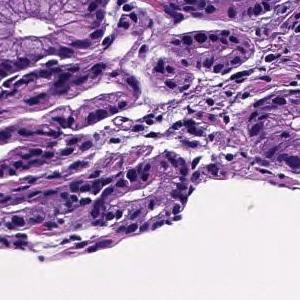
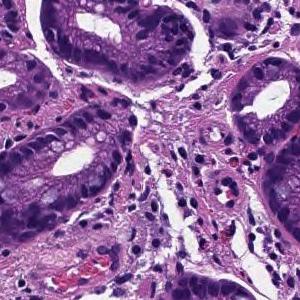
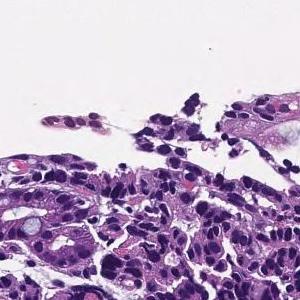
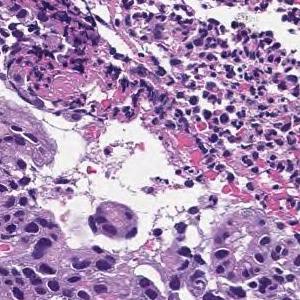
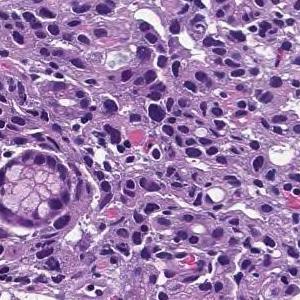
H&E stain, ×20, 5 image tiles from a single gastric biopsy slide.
Pathology report for the slide these tiles were cut from. The findings and the diagnosis refer to the entire slide; these tiles show only part of it, possibly with non-tumor tissue, and may not show every feature named.
Tumor cells are large, highly columnar, large club-shaped nuclei, and are associated with chromatin aggregation. Papillary adenocarcinoma.
